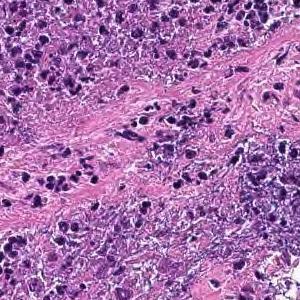
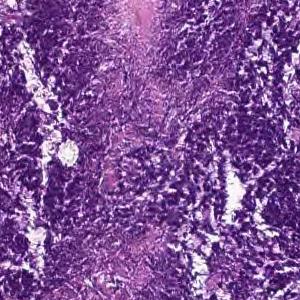
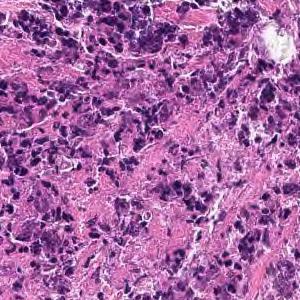
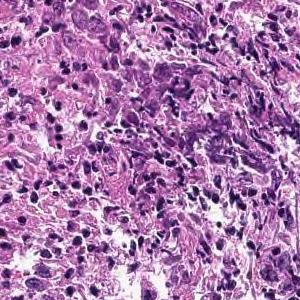
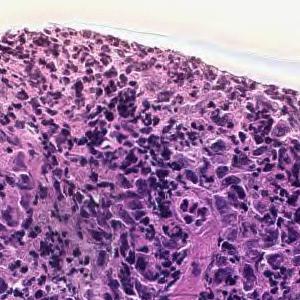
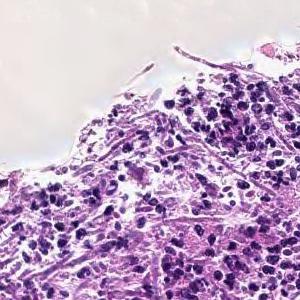
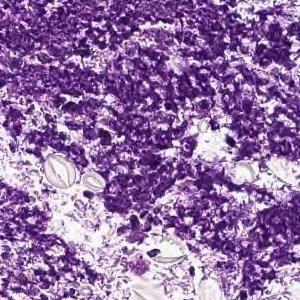
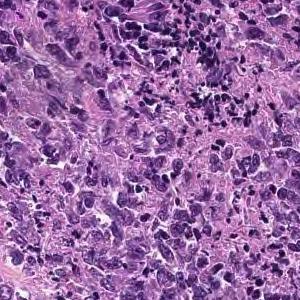
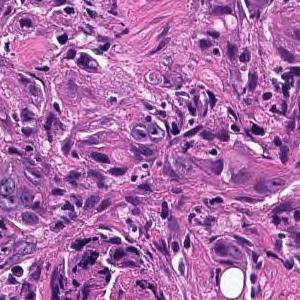
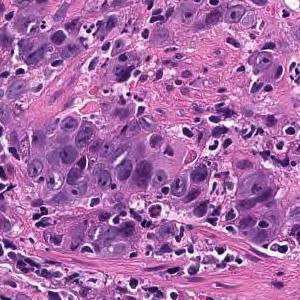
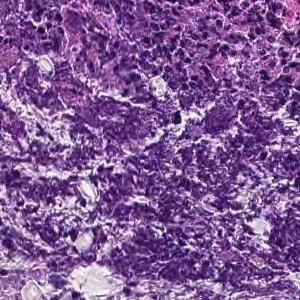
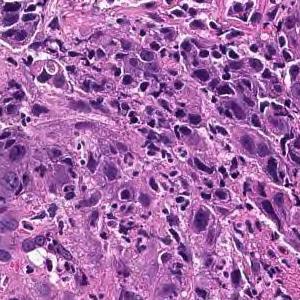
H&E stain; scanned at ×20; 12 image tiles from a single gastric biopsy slide.
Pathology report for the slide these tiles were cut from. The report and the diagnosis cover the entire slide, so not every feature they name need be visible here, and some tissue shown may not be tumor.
Cancers with polygonal nuclei do not show glandular formation and are densely, in part, cord-like and proliferate. Poorly differentiated adenocarcinoma
Classified as poorly differentiated adenocarcinoma, non-solid type.
The term "non-solid type" comes from the Japanese Classification of Gastric Carcinoma.
